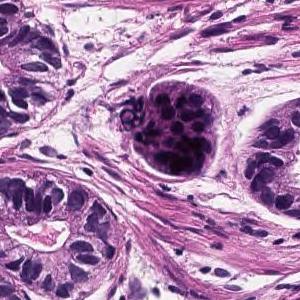
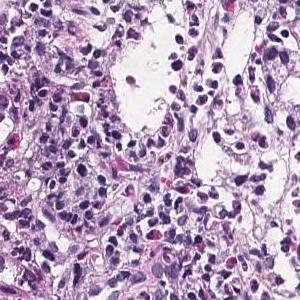
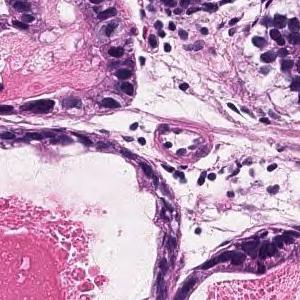
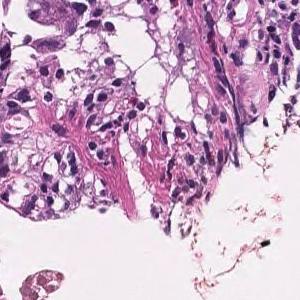
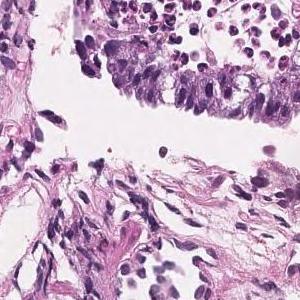
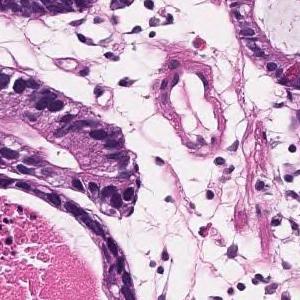
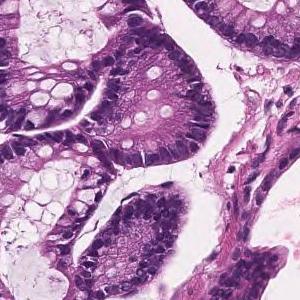
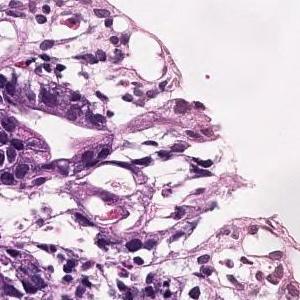
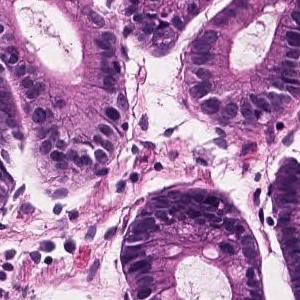
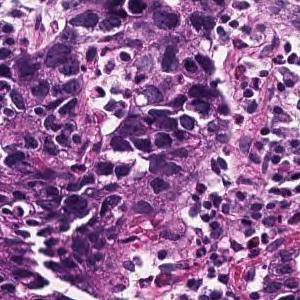
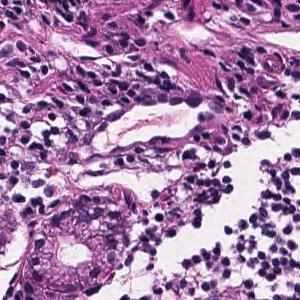
H&E stain · 11 tiles cut from one stomach biopsy slide.
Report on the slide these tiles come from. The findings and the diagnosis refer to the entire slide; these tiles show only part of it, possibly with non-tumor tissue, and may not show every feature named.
Tumor tissue consisting of medium-sized and irregular ducts is observed infiltrating in the superficial epithelium. Tumor cells are highly columnar, with nuclei aligned basolaterally and polarized. Well differentiated tubular adenocarcinoma.
